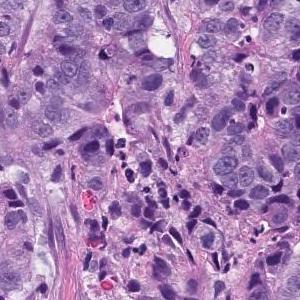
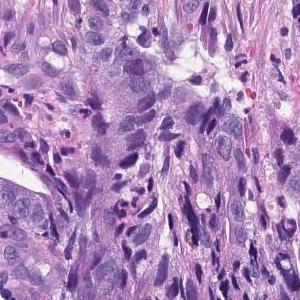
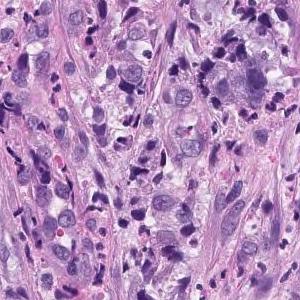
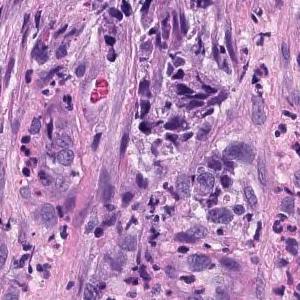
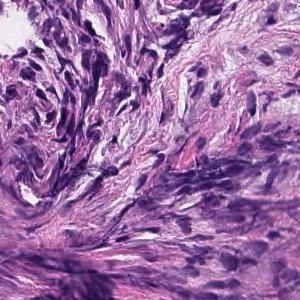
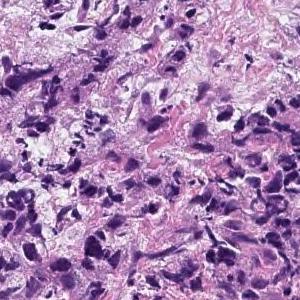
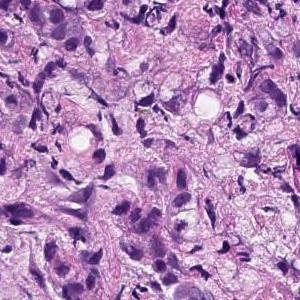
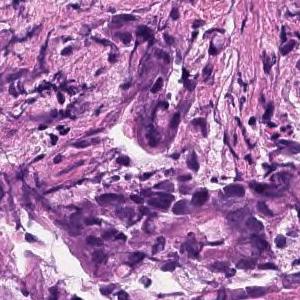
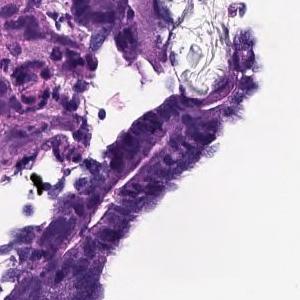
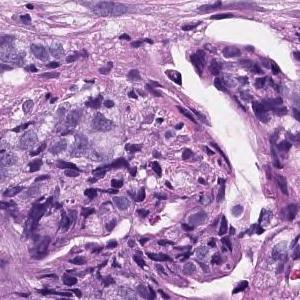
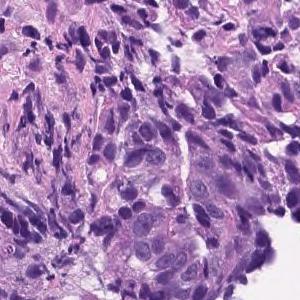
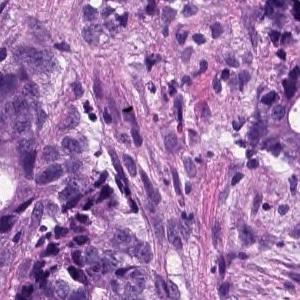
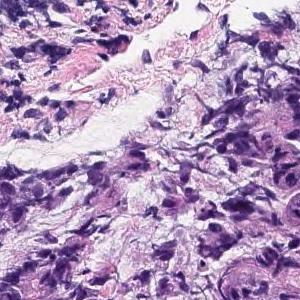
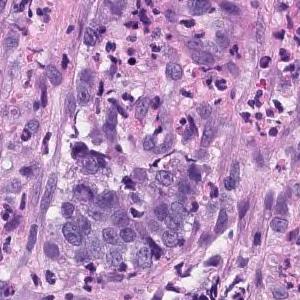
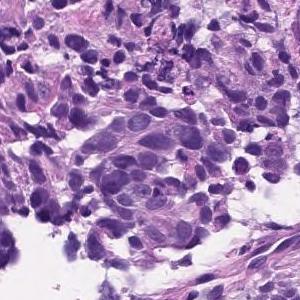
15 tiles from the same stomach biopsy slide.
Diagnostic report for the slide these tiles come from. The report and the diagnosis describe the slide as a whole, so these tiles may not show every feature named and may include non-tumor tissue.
Medium to small, irregular glandular ducts are formed in the superficial epithelium, and in some cases, the glandular ducts are fused to show solid alveolar lesions and infiltrating tumor tissue is observed. Moderately to poorly differentiated adenocarcinoma.
